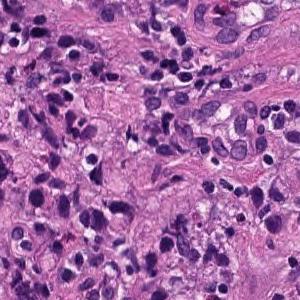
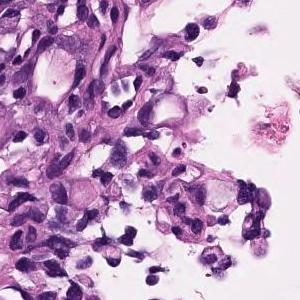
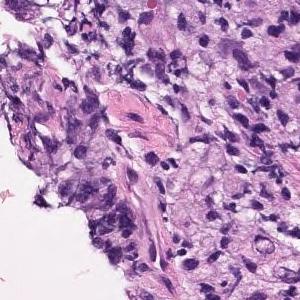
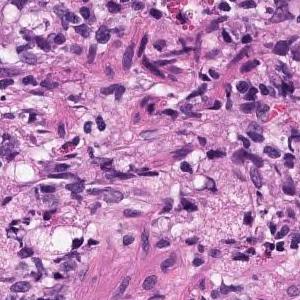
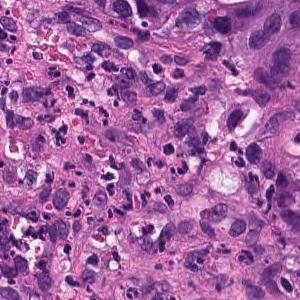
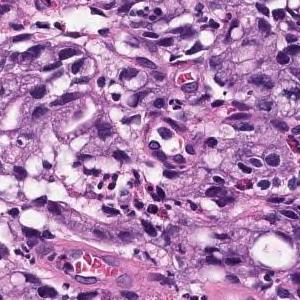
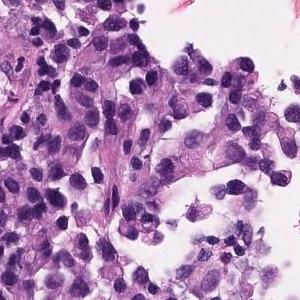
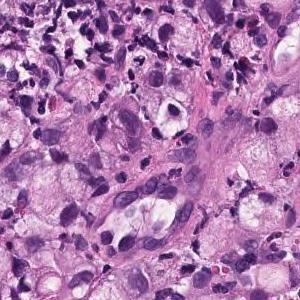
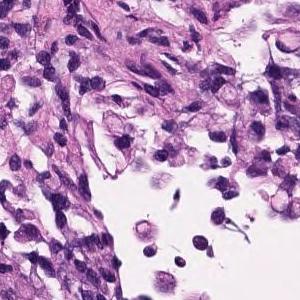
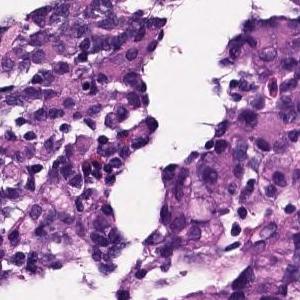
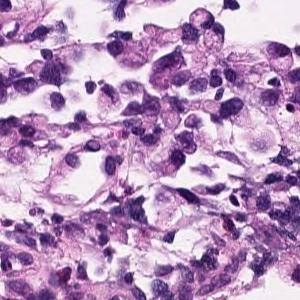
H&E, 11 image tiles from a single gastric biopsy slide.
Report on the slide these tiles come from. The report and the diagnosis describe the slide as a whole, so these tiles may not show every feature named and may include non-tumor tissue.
Atypical epithelium forms irregularly fused gland ducts and proliferates. Poorly differentiated adenocarcinoma.
Tumor subtype: poorly differentiated adenocarcinoma, non-solid type.
The term "non-solid type" comes from the Japanese Classification of Gastric Carcinoma.
